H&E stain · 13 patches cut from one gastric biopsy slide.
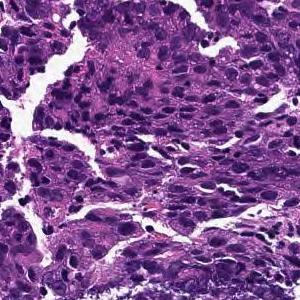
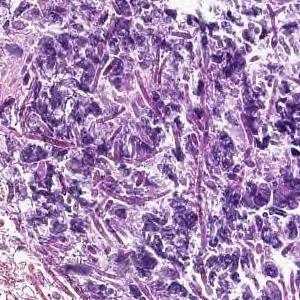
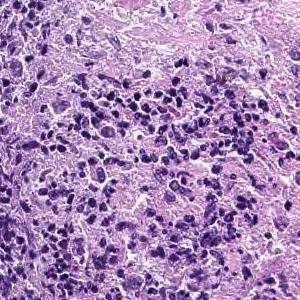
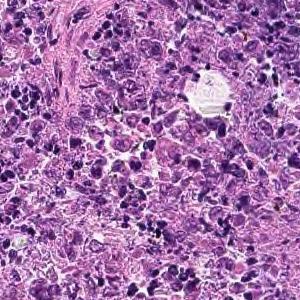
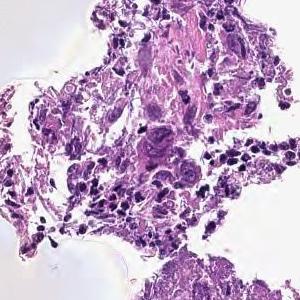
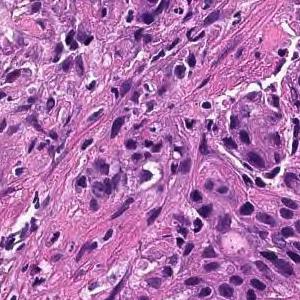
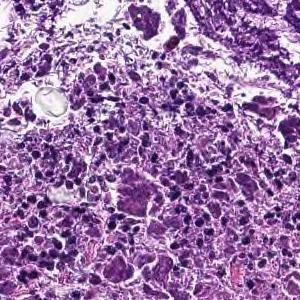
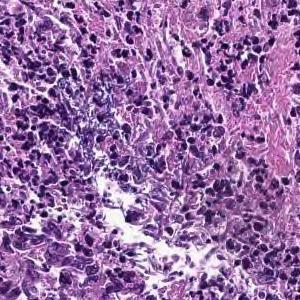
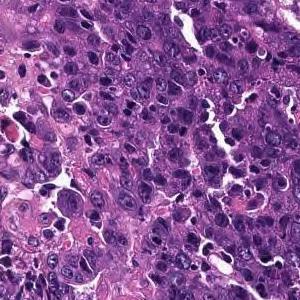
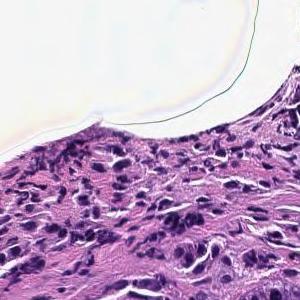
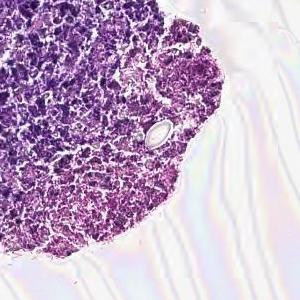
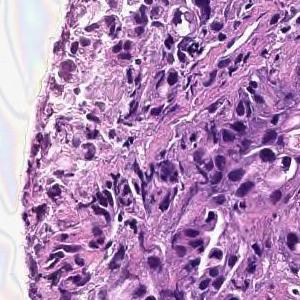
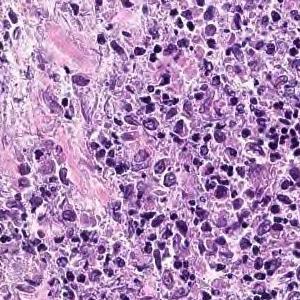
Report on the slide these tiles come from. Both the report and the diagnosis are for the whole slide: these tiles need not show every feature named, and some of the tissue shown may not be tumor.
Cancers with polygonal nuclei do not show glandular formation and are densely, in part, cord-like and proliferate. Poorly differentiated adenocarcinoma
Tumor subtype: poorly differentiated adenocarcinoma, non-solid type.
"Non-solid type" is a category of the Japanese Classification of Gastric Carcinoma.
